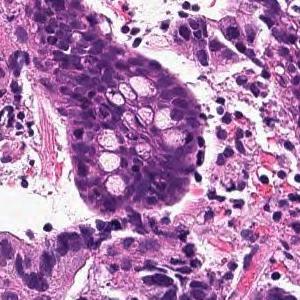
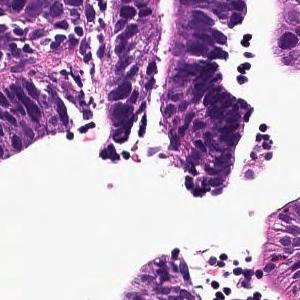
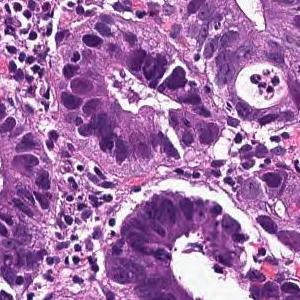
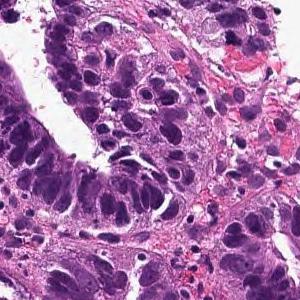
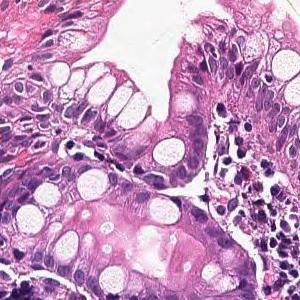
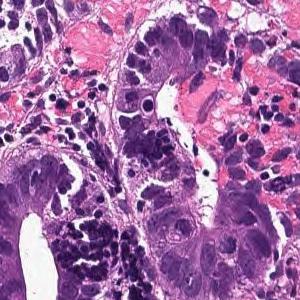
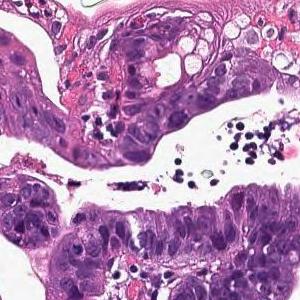
×20, H&E, 7 tiles cut from one stomach biopsy slide, 300 × 300 pixels each.
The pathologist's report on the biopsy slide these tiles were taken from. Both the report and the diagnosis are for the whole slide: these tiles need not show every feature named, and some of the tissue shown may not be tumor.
Tumor cells are large, highly columnar, large club-shaped nuclei, and are associated with chromatin aggregation. Papillary adenocarcinoma.
